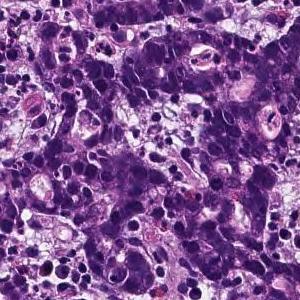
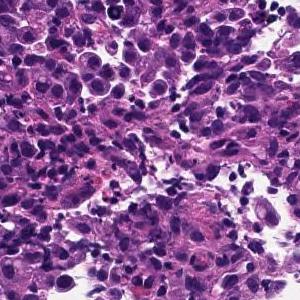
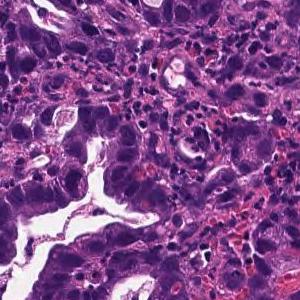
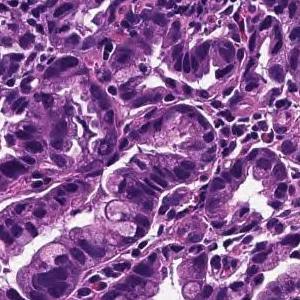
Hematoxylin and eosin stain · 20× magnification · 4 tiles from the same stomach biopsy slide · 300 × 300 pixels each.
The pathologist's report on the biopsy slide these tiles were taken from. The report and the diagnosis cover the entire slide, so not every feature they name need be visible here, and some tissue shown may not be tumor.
In the superficial epithelium, tumor tissue that invades by forming medium-sized to small, irregular ducts is observed. moderately differentiated tubular adenocarcinoma.
